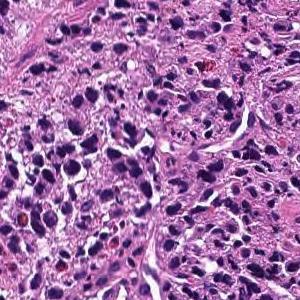
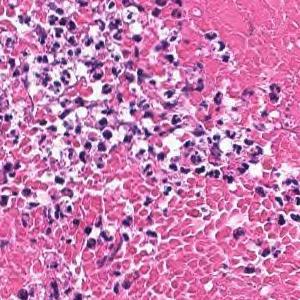
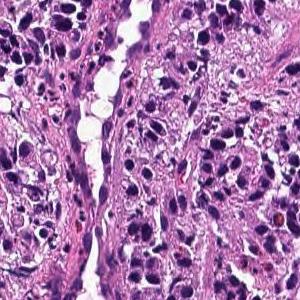
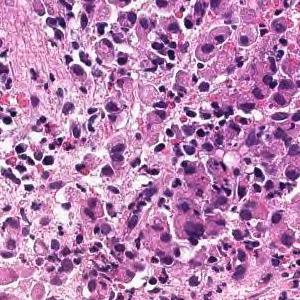
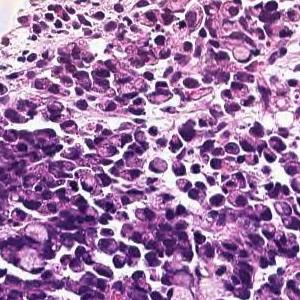
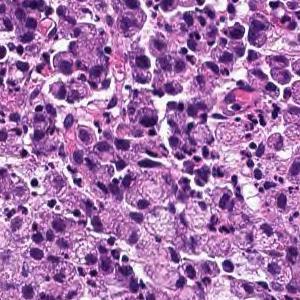
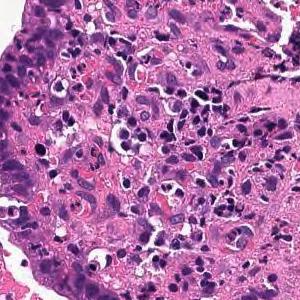
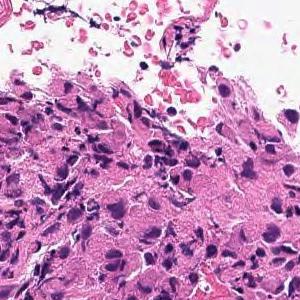
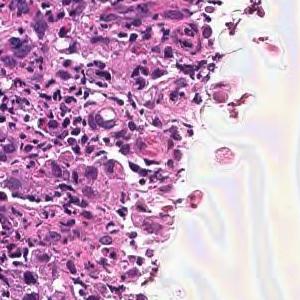
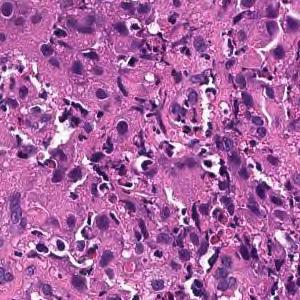
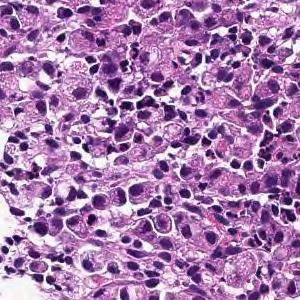
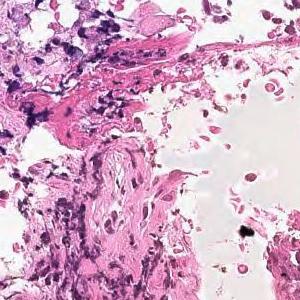
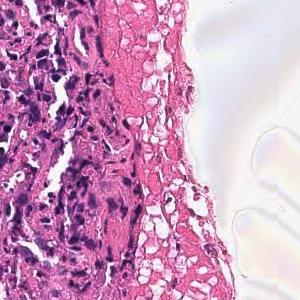
Hematoxylin and eosin stain; 13 tiles from the same stomach biopsy slide.
Report on the slide these tiles come from. The report and the diagnosis describe the slide as a whole, so these tiles may not show every feature named and may include non-tumor tissue.
Tumor tissue consisting of diffusely infiltrated large atypical epithelial cells or signet ring atypical cells is observed in the superficial epithelium. Poorly differentiated adenocarcinoma, solid-type
Subtype: Poorly differentiated adenocarcinoma, solid type, a category of the Japanese Classification of Gastric Carcinoma; in the WHO 2019 classification it is tubular adenocarcinoma, poorly differentiated.
